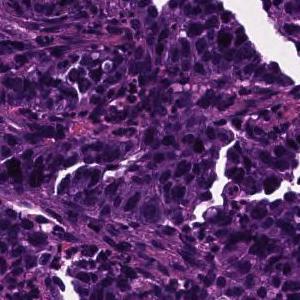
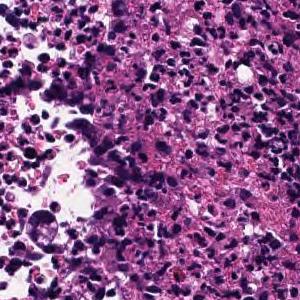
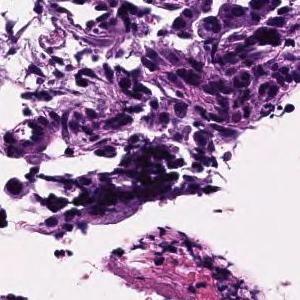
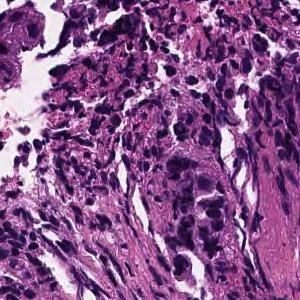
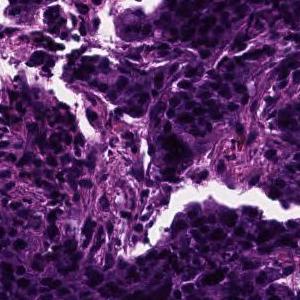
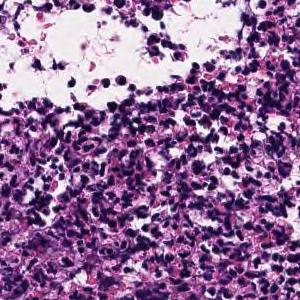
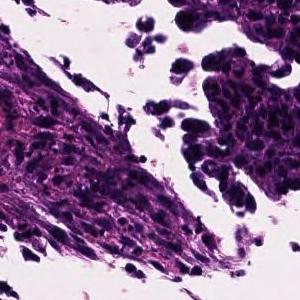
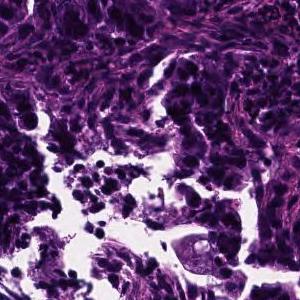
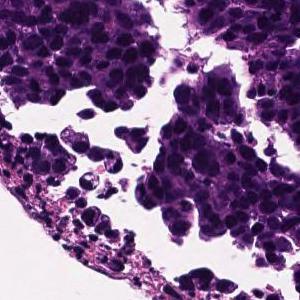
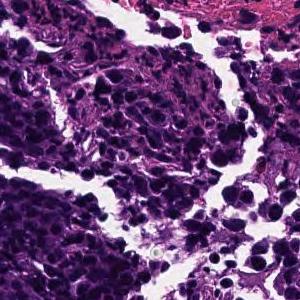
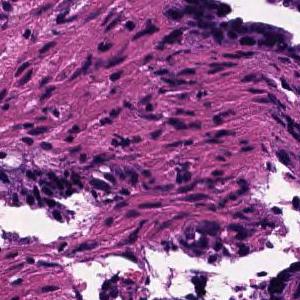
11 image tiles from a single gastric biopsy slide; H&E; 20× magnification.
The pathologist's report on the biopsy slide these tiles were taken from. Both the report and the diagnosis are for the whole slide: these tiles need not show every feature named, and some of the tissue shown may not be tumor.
In the superficial epithelium, tumor tissue that invades by forming medium-sized to small, irregular ducts is observed. moderately differentiated tubular adenocarcinoma.
